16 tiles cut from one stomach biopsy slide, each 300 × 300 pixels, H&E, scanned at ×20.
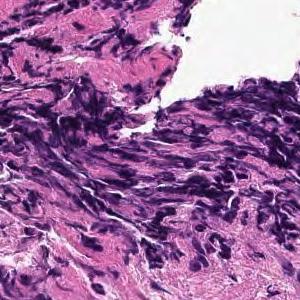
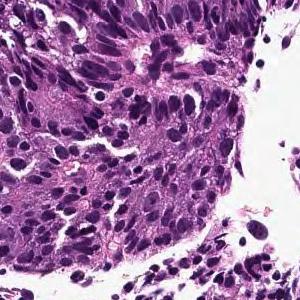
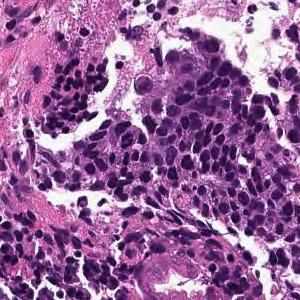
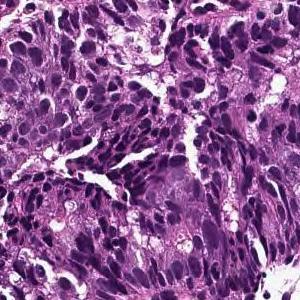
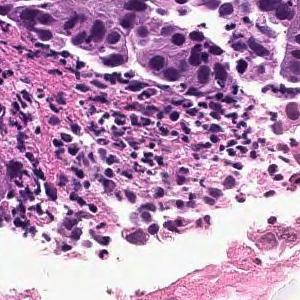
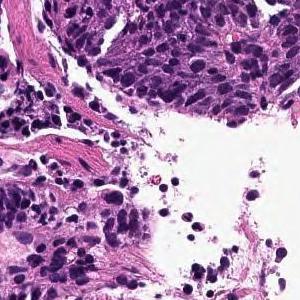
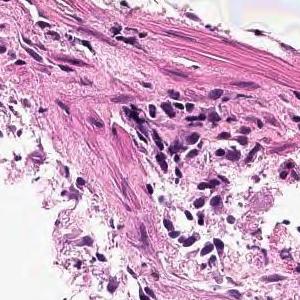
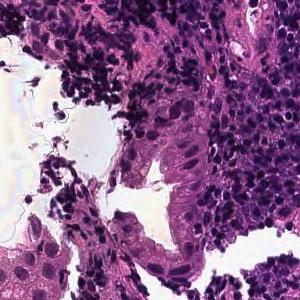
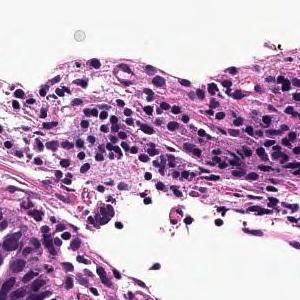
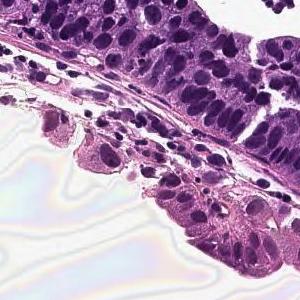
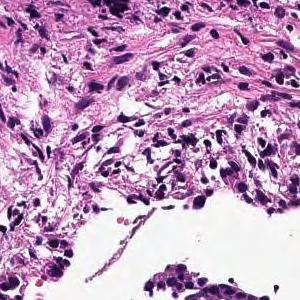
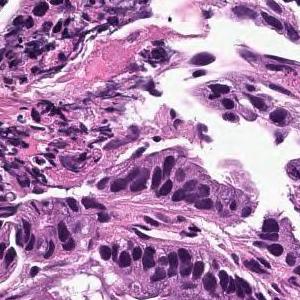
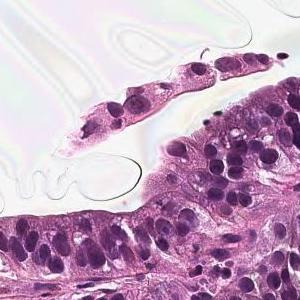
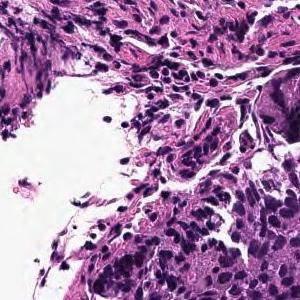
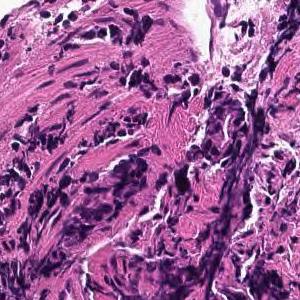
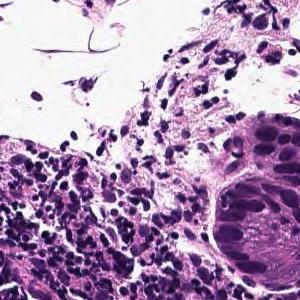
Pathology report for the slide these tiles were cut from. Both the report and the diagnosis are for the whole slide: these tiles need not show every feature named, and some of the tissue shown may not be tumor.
On the superficial epithelium, tumor tissue that infiltrates by forming medium-sized papillary or small irregular ducts is observed. Papillary adenocarcinoma
